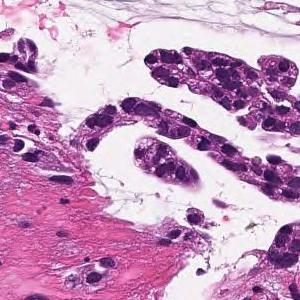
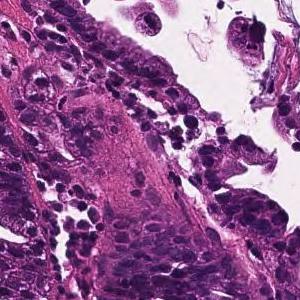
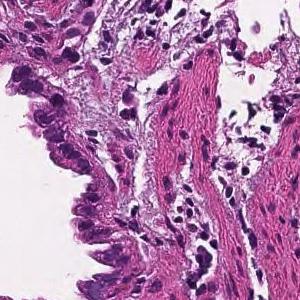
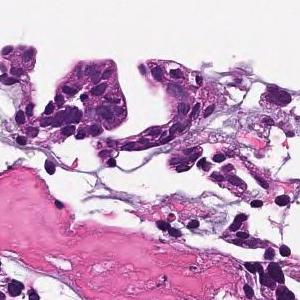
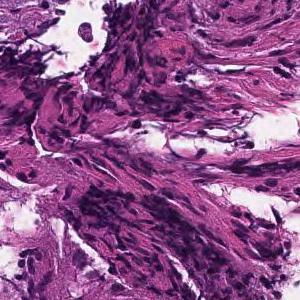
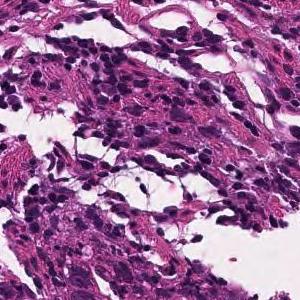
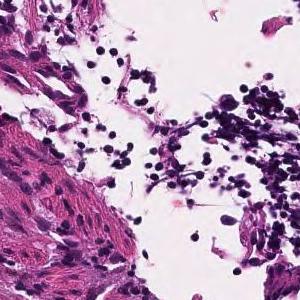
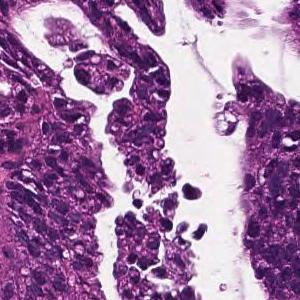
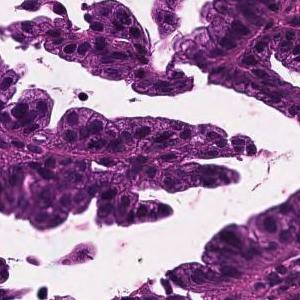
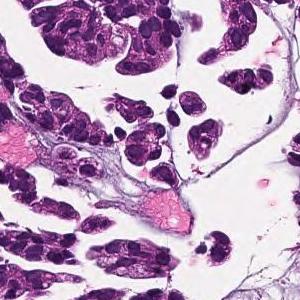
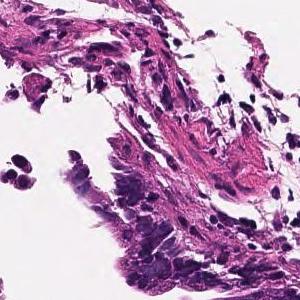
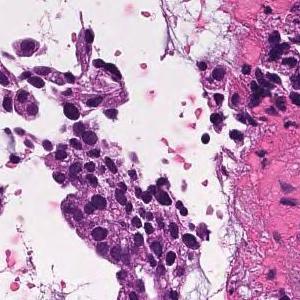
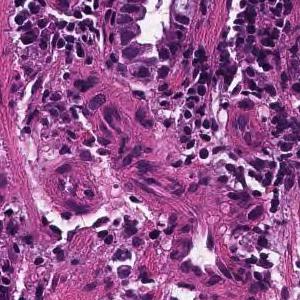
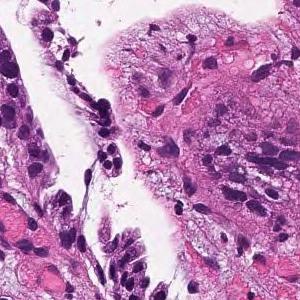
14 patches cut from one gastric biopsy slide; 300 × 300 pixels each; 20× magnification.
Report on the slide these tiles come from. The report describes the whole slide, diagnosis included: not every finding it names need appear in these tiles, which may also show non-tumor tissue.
Tumor cells are large, highly columnar, large club-shaped nuclei, and are associated with chromatin aggregation. Papillary adenocarcinoma.
